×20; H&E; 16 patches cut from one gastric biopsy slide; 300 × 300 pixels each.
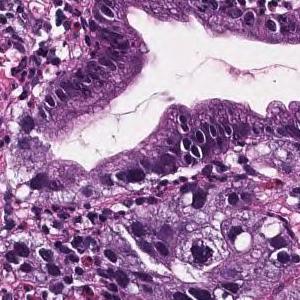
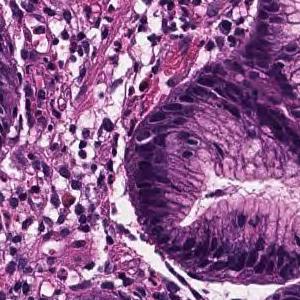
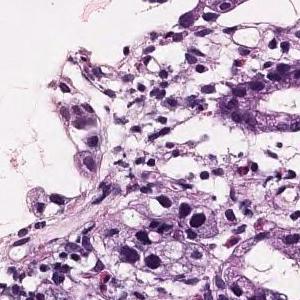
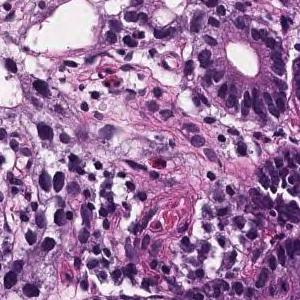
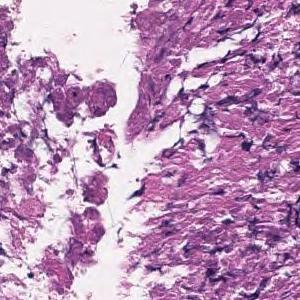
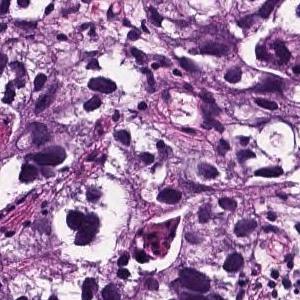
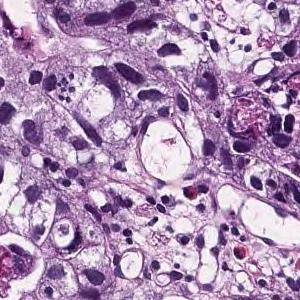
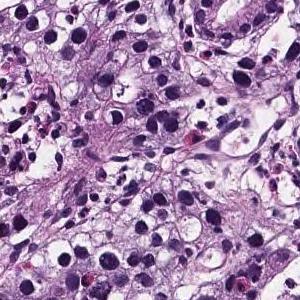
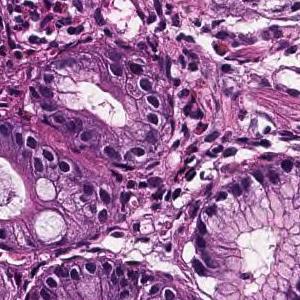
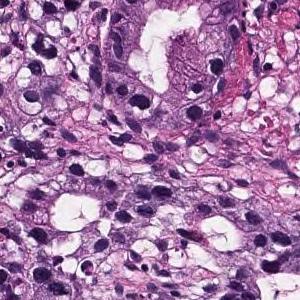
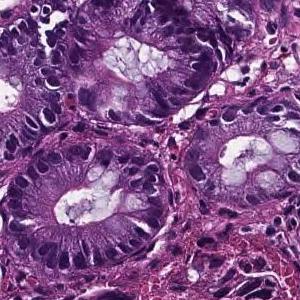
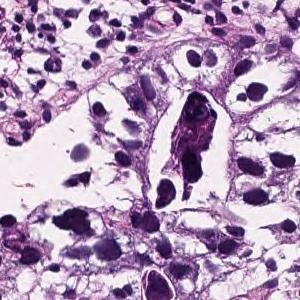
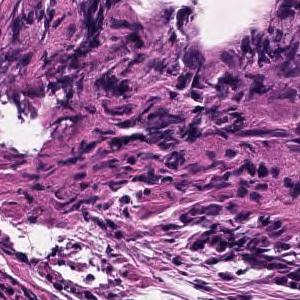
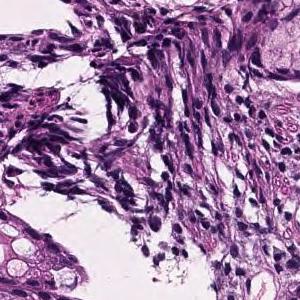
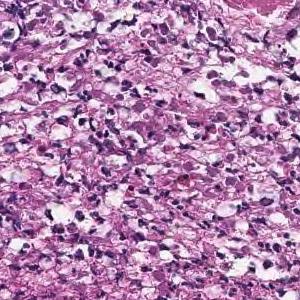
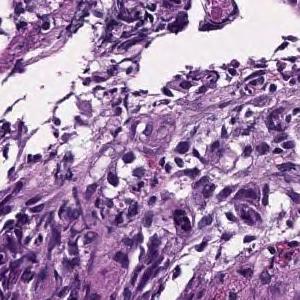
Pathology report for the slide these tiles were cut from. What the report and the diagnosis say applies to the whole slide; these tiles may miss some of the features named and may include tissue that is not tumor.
In the superficial epithelium, medium to small irregular gland ducts are formed, and in some cases, the ducts are fused to show solid alveolar lesions and infiltrating tumor tissue is observed. Moderately to poorly differentiated adenocarcinoma
